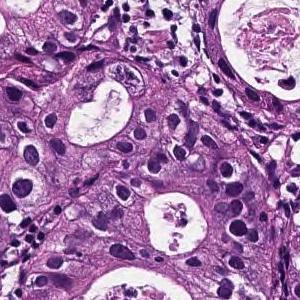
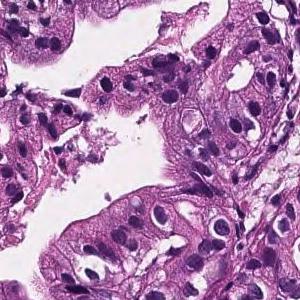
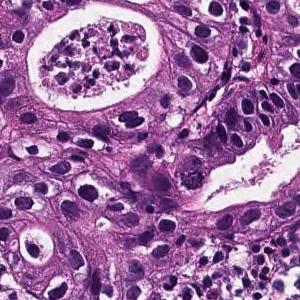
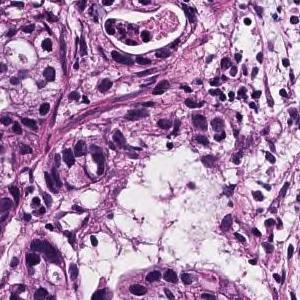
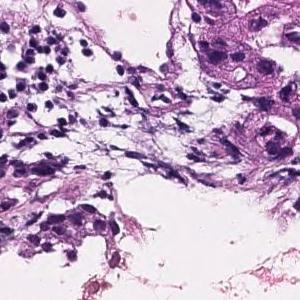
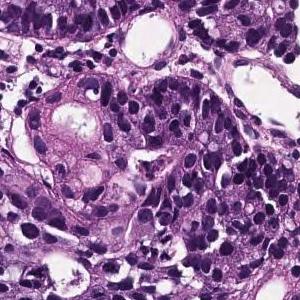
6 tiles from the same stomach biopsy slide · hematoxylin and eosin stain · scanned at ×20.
Pathology report for the biopsy slide these tiles were cut from. The report and the diagnosis cover the entire slide, so not every feature they name need be visible here, and some tissue shown may not be tumor.
From the superficial epithelium to the muscularis mucosae, tumor tissue infiltrating by forming medium-sized irregular gland ducts is observed. Large tumor cells exhibit large nucleus and hyperchromatism. Well differentiated tubular adenocarcinoma
